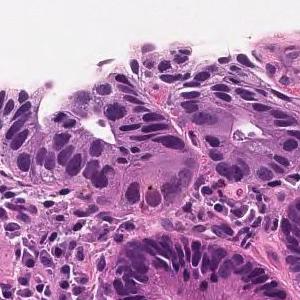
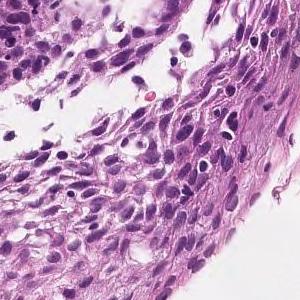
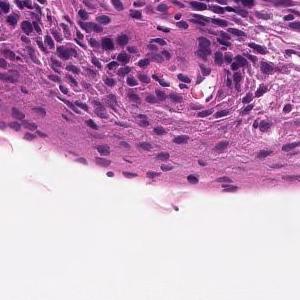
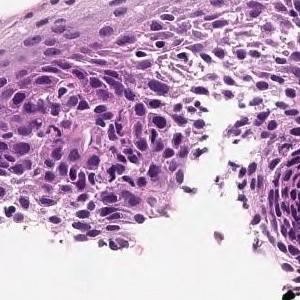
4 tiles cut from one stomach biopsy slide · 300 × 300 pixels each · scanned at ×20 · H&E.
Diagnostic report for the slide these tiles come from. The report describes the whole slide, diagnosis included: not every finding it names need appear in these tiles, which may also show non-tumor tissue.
On the superficial epithelium, tumor tissue is found in which medium-sized irregular gland ducts fuse with each other and infiltrate. moderately differentiated tubular adenocarcinoma
